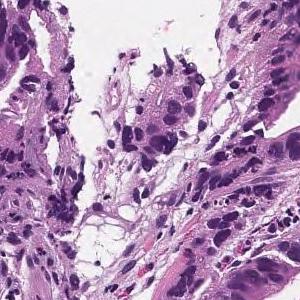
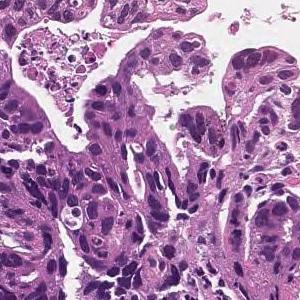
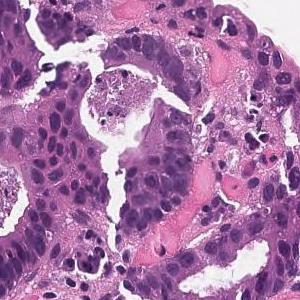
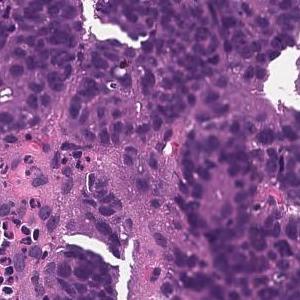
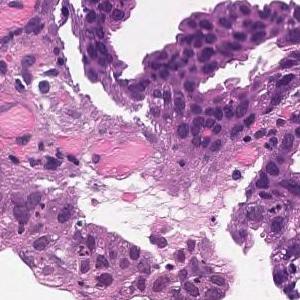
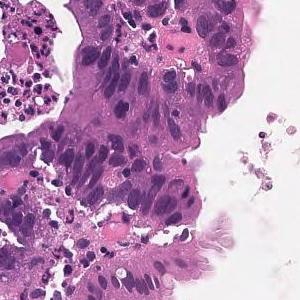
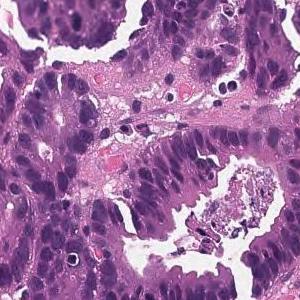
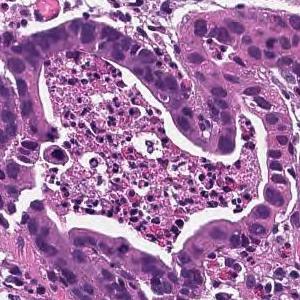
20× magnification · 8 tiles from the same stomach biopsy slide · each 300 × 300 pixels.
The pathologist's report on the biopsy slide these tiles were taken from. What the report and the diagnosis say applies to the whole slide; these tiles may miss some of the features named and may include tissue that is not tumor.
In the superficial epithelium, tumor tissue that invades by forming medium-sized to small, irregular ducts is observed. moderately differentiated tubular adenocarcinoma.
